12 image tiles from a single gastric biopsy slide; each 300 × 300 pixels; 20× magnification; H&E stain.
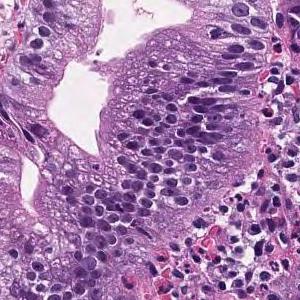
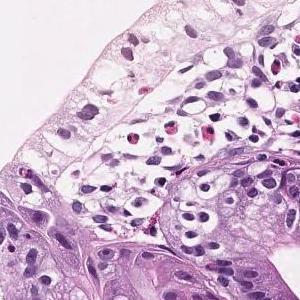
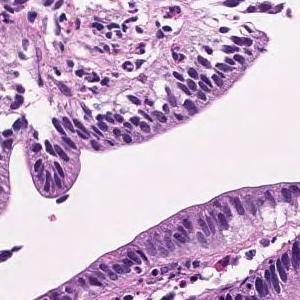
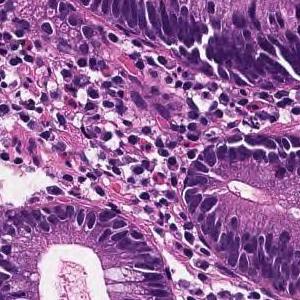
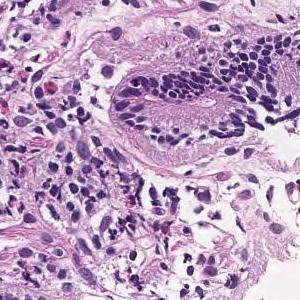
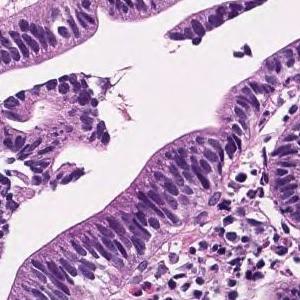
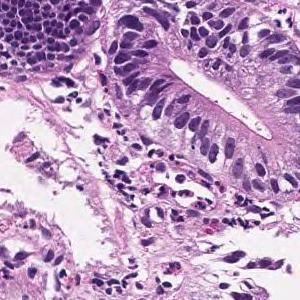
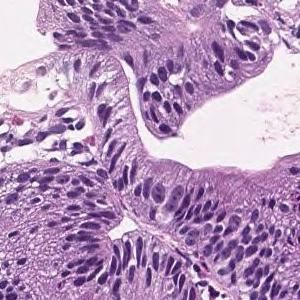
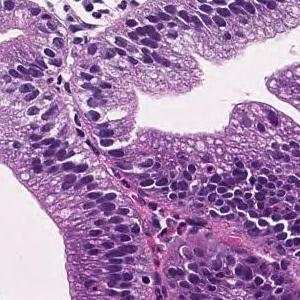
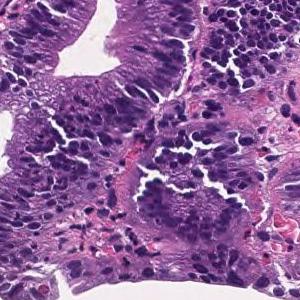
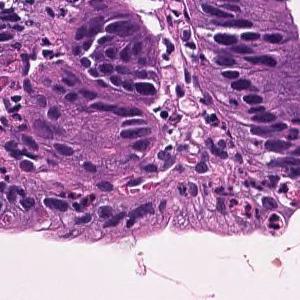
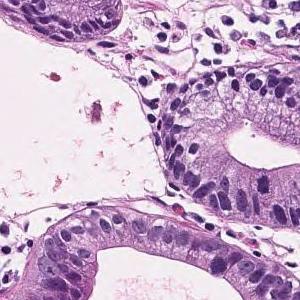
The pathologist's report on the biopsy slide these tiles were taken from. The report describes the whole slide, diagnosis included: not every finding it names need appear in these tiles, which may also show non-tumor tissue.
In the superficial epithelium, tumor tissue that invades by forming medium-sized to small, irregular ducts is observed. Well differentiated tubular adenocarcinoma.
